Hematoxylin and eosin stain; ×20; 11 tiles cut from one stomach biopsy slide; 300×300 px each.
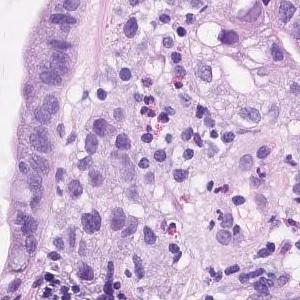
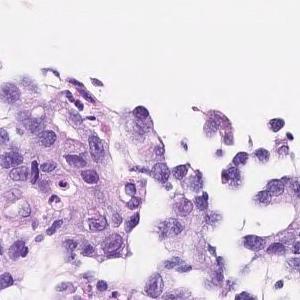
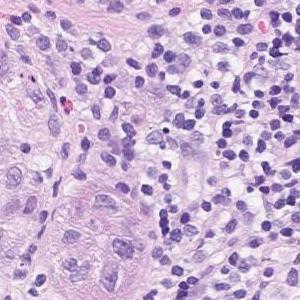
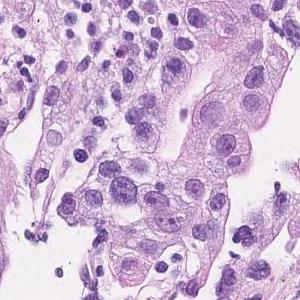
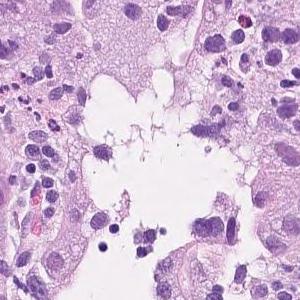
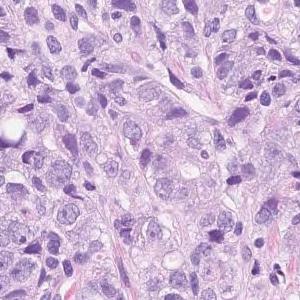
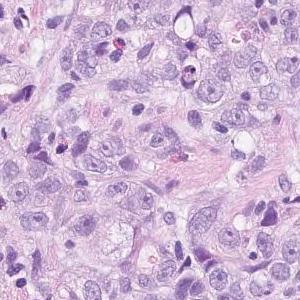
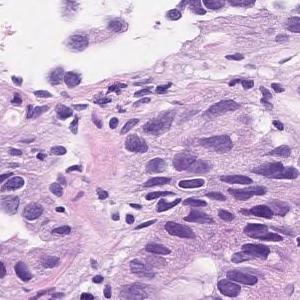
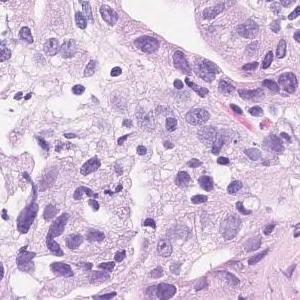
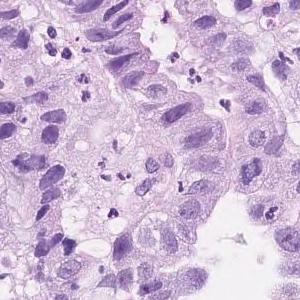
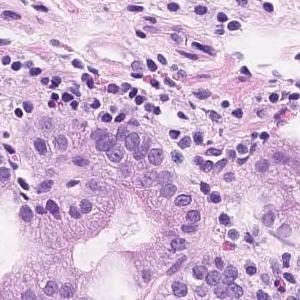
Report on the slide these tiles come from. The findings and the diagnosis refer to the entire slide; these tiles show only part of it, possibly with non-tumor tissue, and may not show every feature named.
In the superficial epithelium, tumor tissue that invades by forming medium-sized to small, irregular ducts is observed. Moderately to poorly differentiated adenocarcinoma
